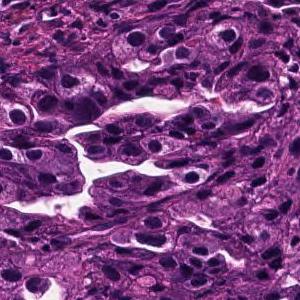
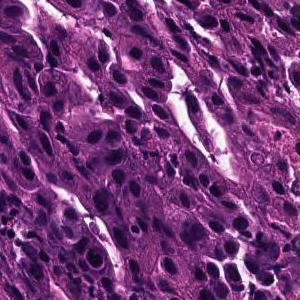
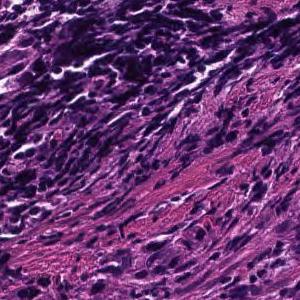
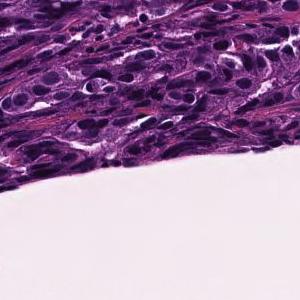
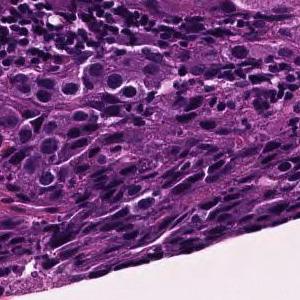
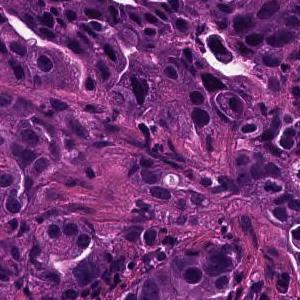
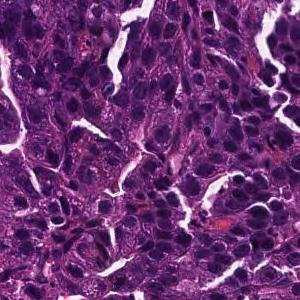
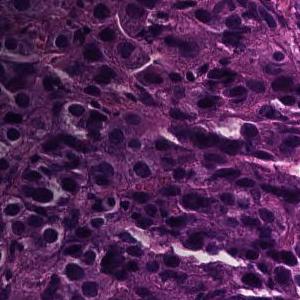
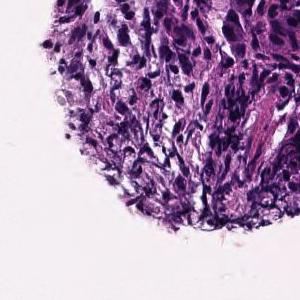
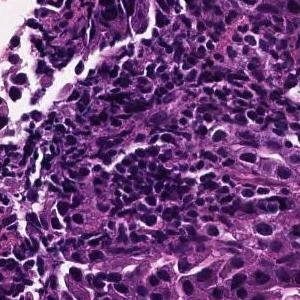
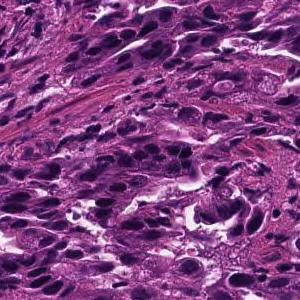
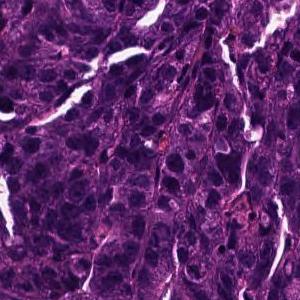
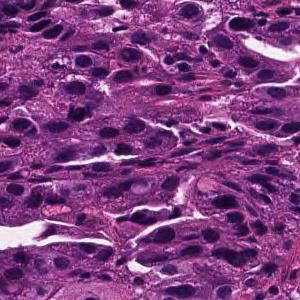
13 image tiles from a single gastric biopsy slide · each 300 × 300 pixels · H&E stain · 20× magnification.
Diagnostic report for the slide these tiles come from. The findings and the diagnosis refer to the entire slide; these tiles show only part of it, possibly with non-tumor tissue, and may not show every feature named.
Tumor tissue consisting of medium-sized, cord-like or irregular glandular fusion and infiltration is observed in the superficial epithelium. Poorly differentiated adenocarcinoma, non-solid type or moderately differentiated tubular adenocarcinoma
Histological subtype: Moderately to poorly differentiated adenocarcinoma.
"Non-solid type" is a category of the Japanese Classification of Gastric Carcinoma.
